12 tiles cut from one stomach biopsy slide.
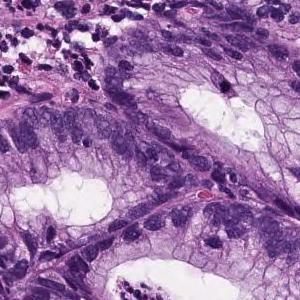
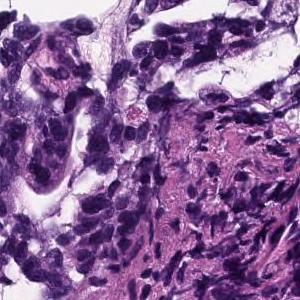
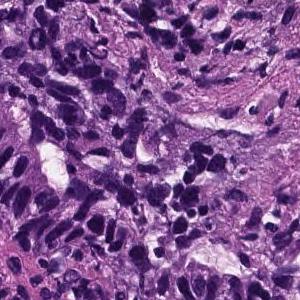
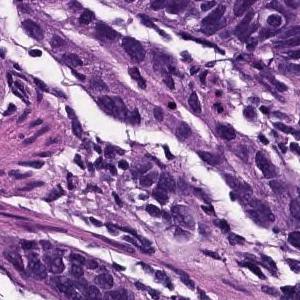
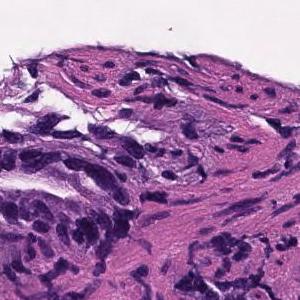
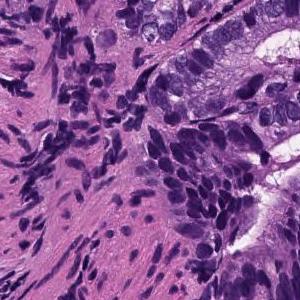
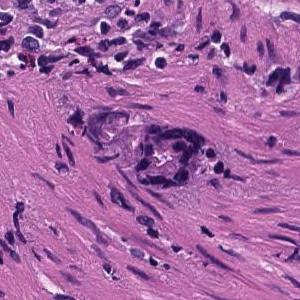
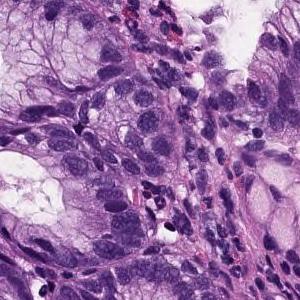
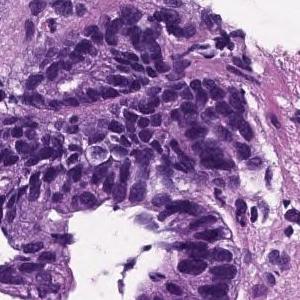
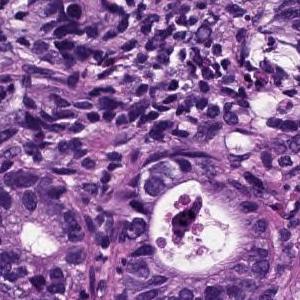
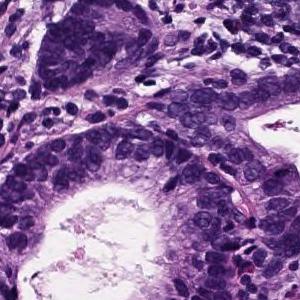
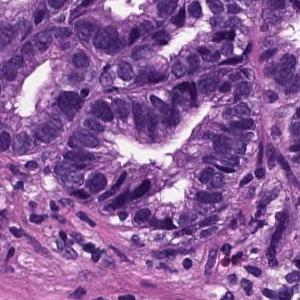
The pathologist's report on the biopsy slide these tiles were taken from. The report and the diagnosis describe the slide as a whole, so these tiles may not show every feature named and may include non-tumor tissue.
In the superficial epithelium, tumor tissue that invades by forming medium-sized to small, irregular ducts is observed. Moderately differentiated adenocarcinoma.
Subtype: Moderately differentiated tubular adenocarcinoma.
